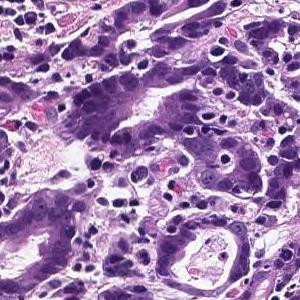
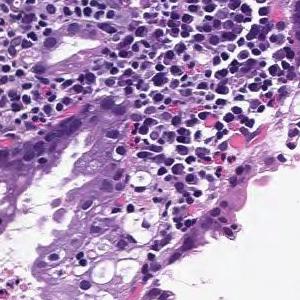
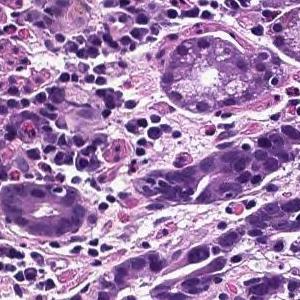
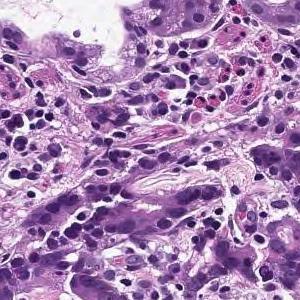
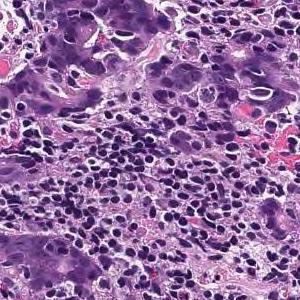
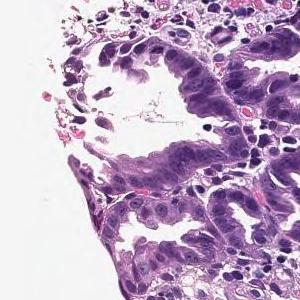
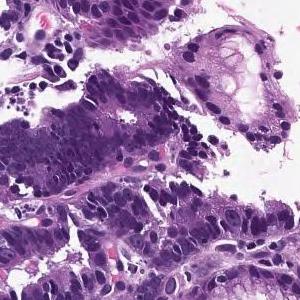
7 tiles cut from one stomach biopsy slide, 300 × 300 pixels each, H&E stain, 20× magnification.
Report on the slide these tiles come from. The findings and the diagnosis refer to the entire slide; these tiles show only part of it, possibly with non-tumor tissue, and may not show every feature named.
In the superficial epithelium, tumor tissue that invades by forming medium-sized to small, irregular ducts is observed. moderately differentiated tubular adenocarcinoma.
